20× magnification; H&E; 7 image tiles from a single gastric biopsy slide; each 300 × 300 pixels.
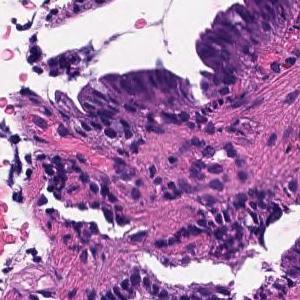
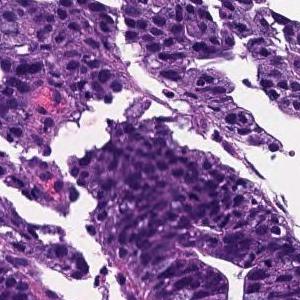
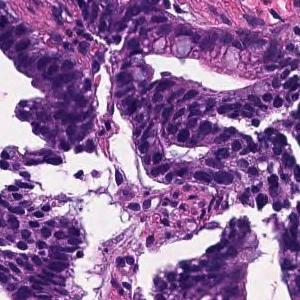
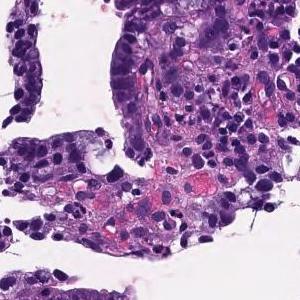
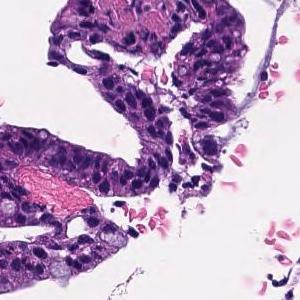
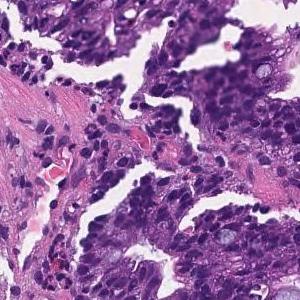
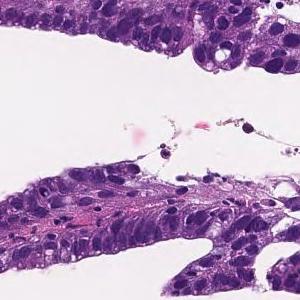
Pathology report for the slide these tiles were cut from. The report and the diagnosis cover the entire slide, so not every feature they name need be visible here, and some tissue shown may not be tumor.
Tumor cells are large, highly columnar, large club-shaped nuclei, and are associated with chromatin aggregation. Papillary adenocarcinoma.
